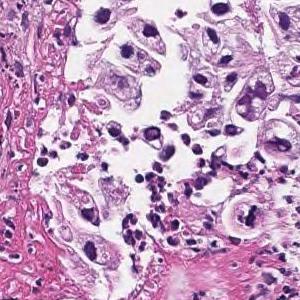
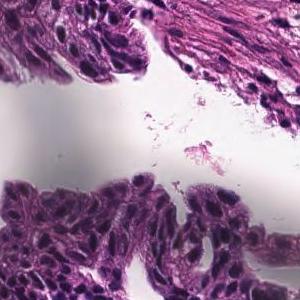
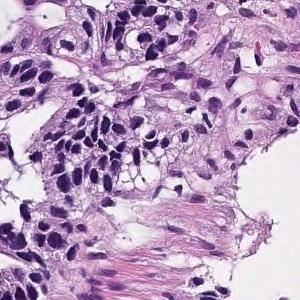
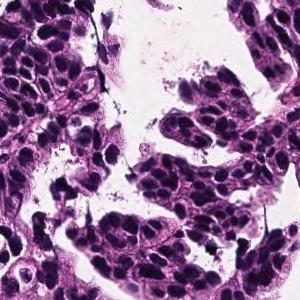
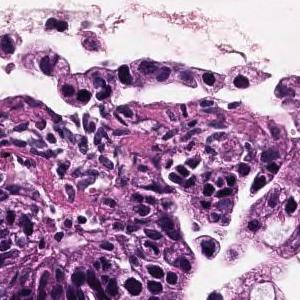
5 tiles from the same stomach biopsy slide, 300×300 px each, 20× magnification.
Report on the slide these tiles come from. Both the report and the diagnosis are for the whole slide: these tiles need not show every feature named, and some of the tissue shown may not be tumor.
Tumor cells are large, highly columnar, large club-shaped nuclei, and are associated with chromatin aggregation. Papillary adenocarcinoma.
